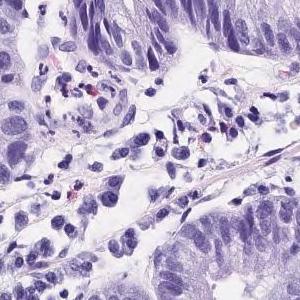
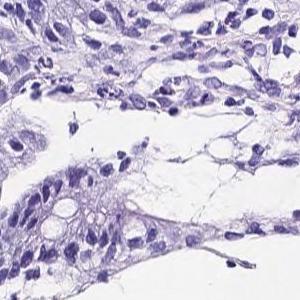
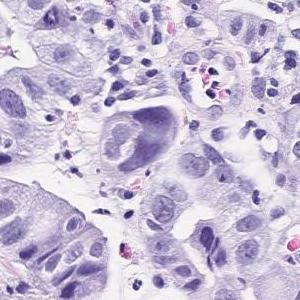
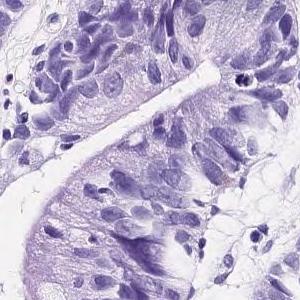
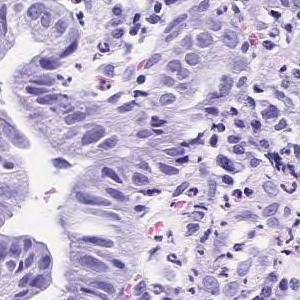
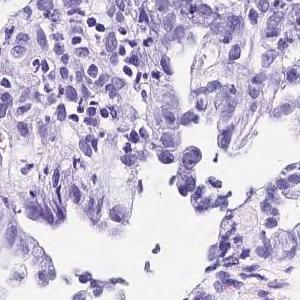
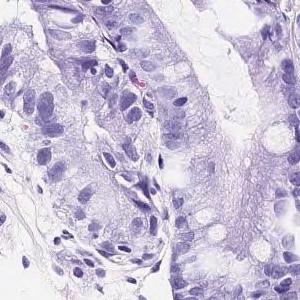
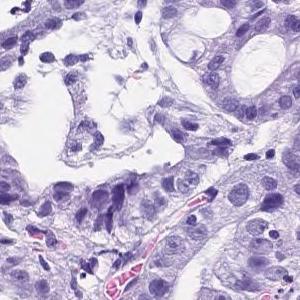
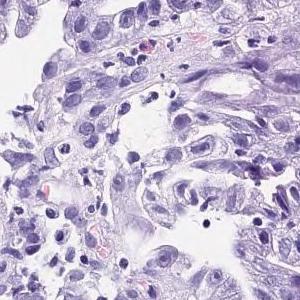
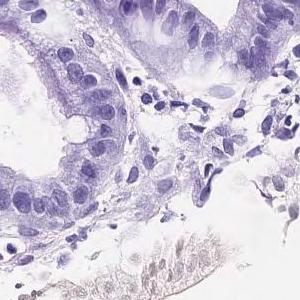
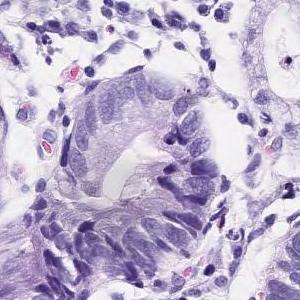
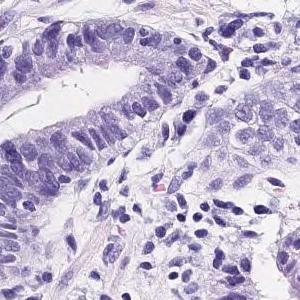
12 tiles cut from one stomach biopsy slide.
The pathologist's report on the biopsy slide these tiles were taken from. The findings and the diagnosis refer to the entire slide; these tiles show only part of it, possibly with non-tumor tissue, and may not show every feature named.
Tumor tissue consisting of medium-sized and irregular ducts is observed infiltrating in the superficial epithelium. Tumor cells are highly columnar, with nuclei aligned basolaterally and polarized. Well differentiated tubular adenocarcinoma.
